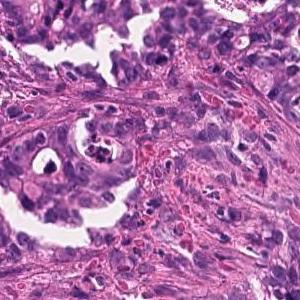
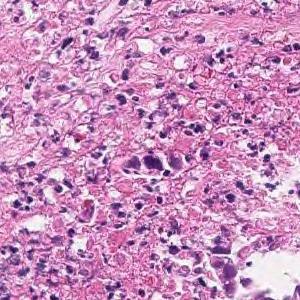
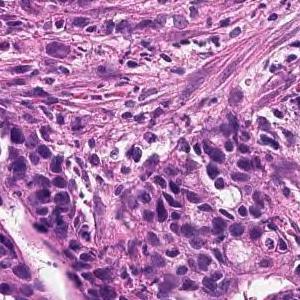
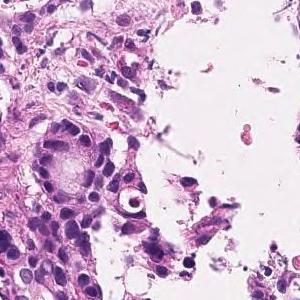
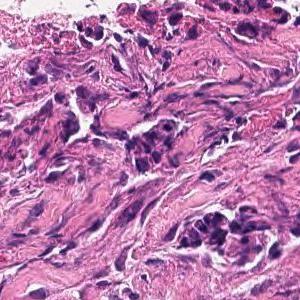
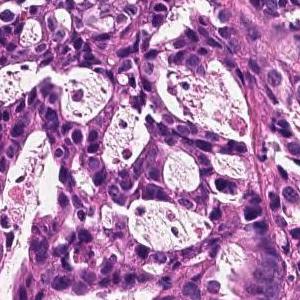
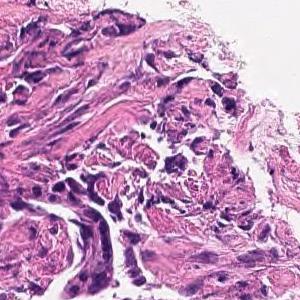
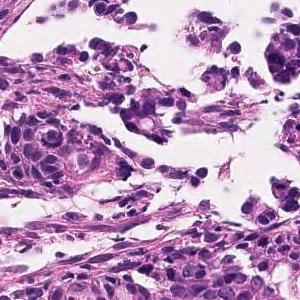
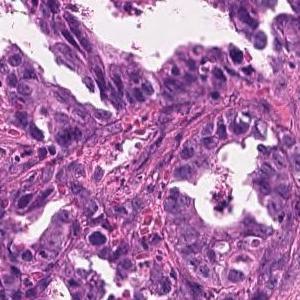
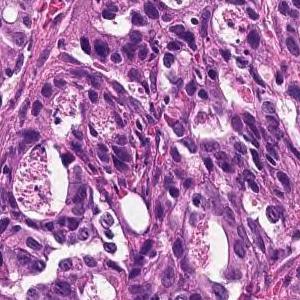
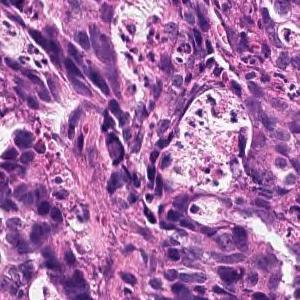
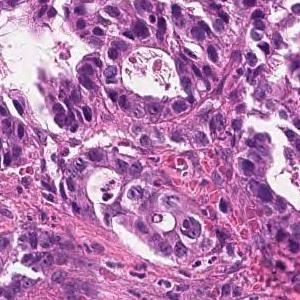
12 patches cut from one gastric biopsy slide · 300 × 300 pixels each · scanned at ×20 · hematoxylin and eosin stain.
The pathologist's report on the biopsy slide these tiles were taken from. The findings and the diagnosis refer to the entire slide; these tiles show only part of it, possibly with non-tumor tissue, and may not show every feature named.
On the superficial epithelium, tumor tissue consisting of images of small to medium-sized and irregular tubules infiltrating with irregular fusion is observed. moderately differentiated tubular adenocarcinoma
